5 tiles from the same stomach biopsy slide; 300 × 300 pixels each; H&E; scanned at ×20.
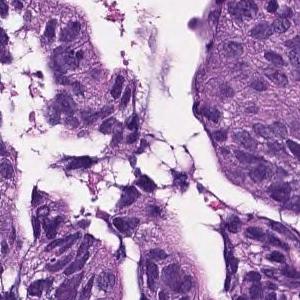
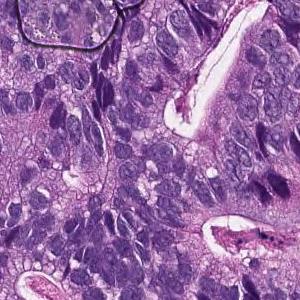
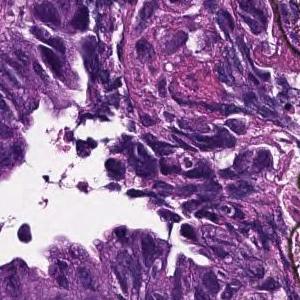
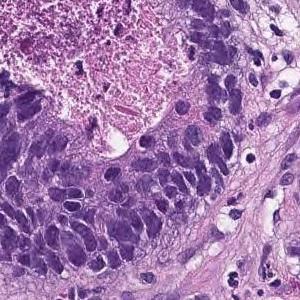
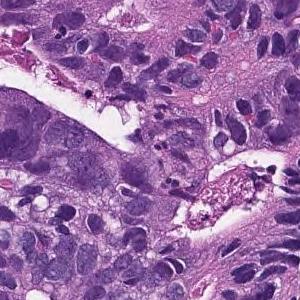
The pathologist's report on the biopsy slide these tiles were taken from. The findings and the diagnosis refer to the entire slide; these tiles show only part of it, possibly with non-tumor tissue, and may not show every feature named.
In the superficial epithelium, tumor tissue that invades by forming medium-sized to small, irregular ducts is observed. moderately differentiated tubular adenocarcinoma.
